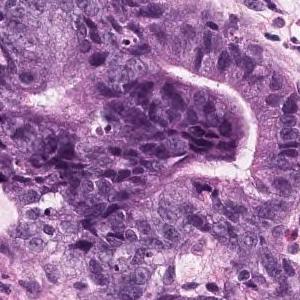
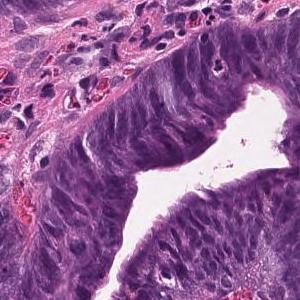
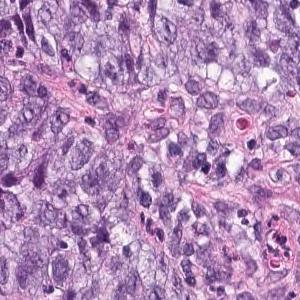
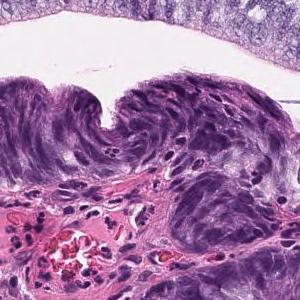
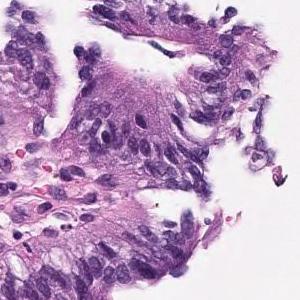
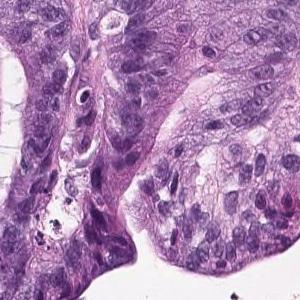
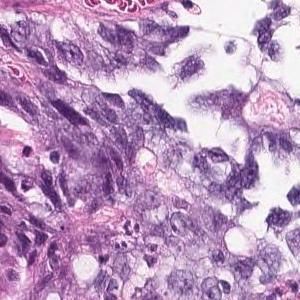
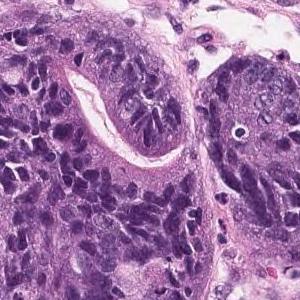
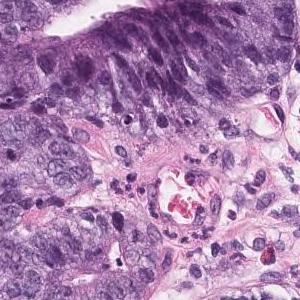
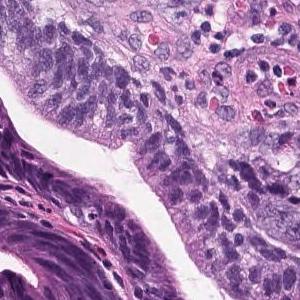
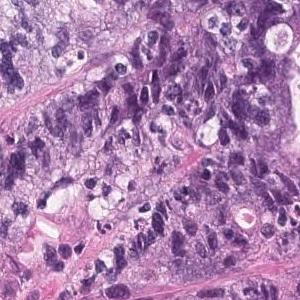
20× magnification; 11 tiles from the same stomach biopsy slide; 300 × 300 pixels each.
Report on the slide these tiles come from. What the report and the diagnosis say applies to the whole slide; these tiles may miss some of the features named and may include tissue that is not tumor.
Large atypical epithelial cells with swollen atypical nuclei are seen proliferating into a tubular fusion gland. moderately differentiated tubular adenocarcinoma
